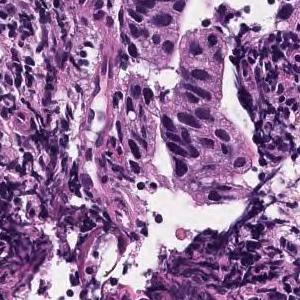
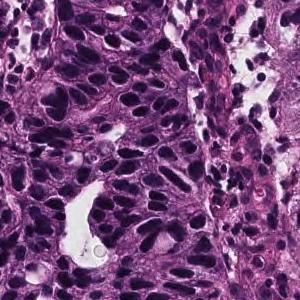
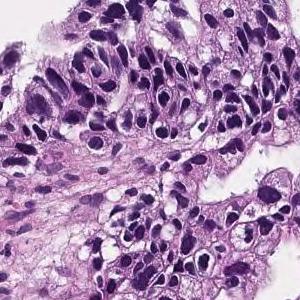
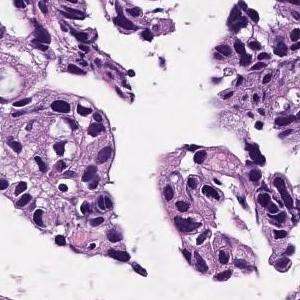
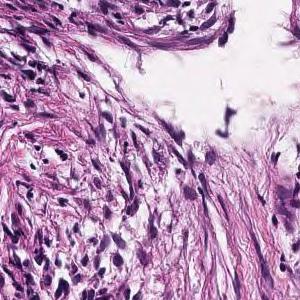
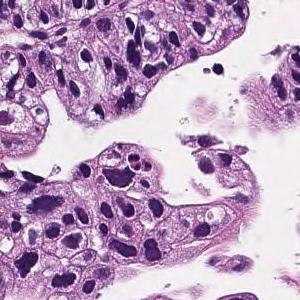
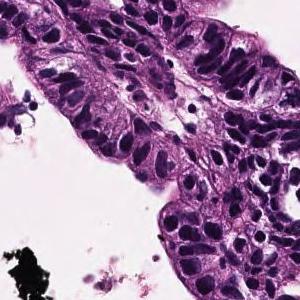
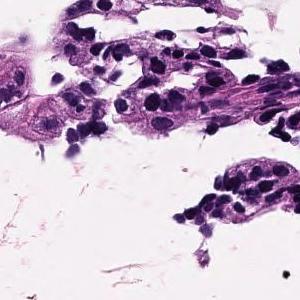
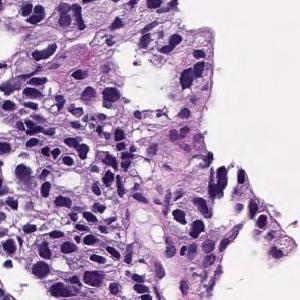
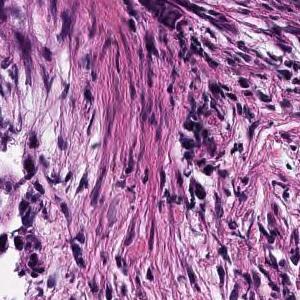
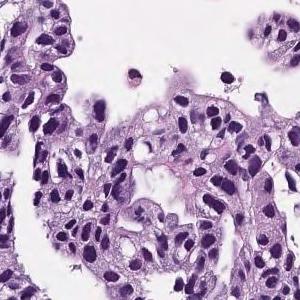
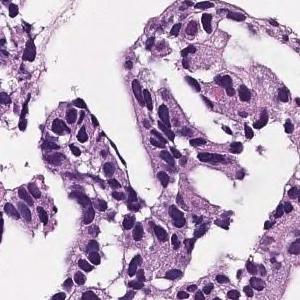
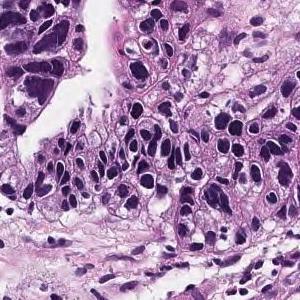
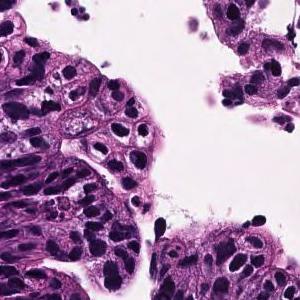
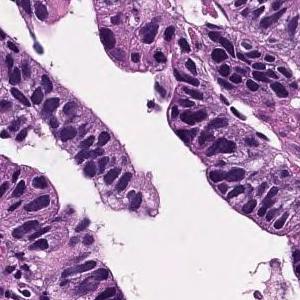
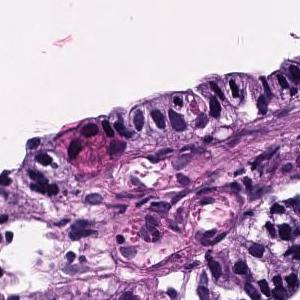
Scanned at ×20; 16 tiles from the same stomach biopsy slide; 300×300 px each.
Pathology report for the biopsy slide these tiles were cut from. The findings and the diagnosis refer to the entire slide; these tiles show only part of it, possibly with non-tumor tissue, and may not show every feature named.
Tumor cells are large, highly columnar, large club-shaped nuclei, and are associated with chromatin aggregation. Papillary adenocarcinoma.
